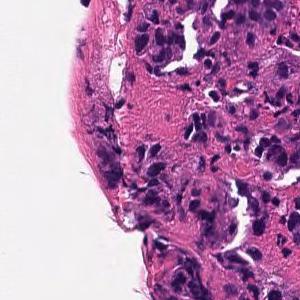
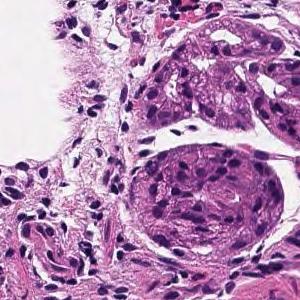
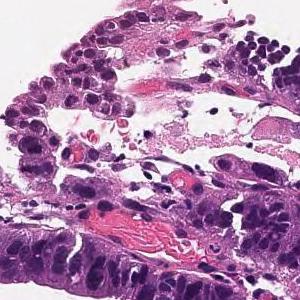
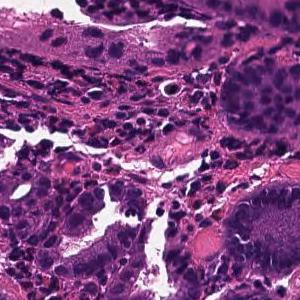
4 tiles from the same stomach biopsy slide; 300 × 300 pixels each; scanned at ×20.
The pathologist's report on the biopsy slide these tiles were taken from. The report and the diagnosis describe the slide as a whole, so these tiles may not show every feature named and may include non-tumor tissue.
Tumor cells are large, highly columnar, large club-shaped nuclei, and are associated with chromatin aggregation. Papillary adenocarcinoma.
